7 tiles cut from one stomach biopsy slide · 300×300 px each.
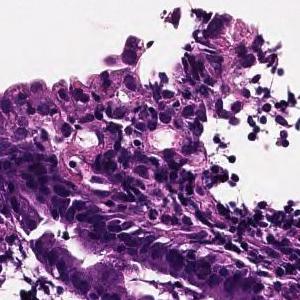
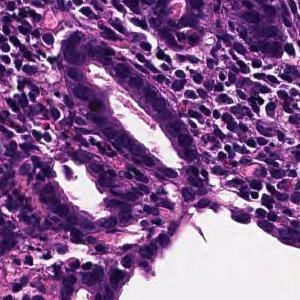
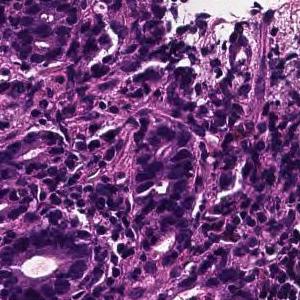
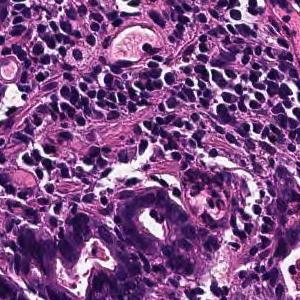
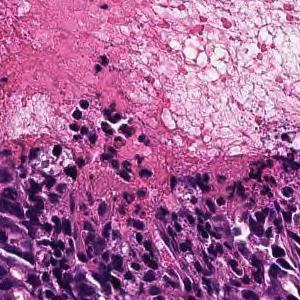
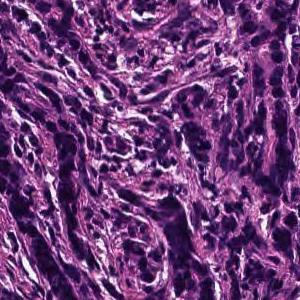
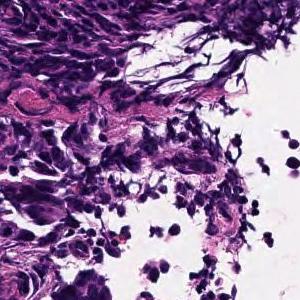
Pathology report for the slide these tiles were cut from. What the report and the diagnosis say applies to the whole slide; these tiles may miss some of the features named and may include tissue that is not tumor.
On the superficial epithelium, tumor tissue is found in which medium-sized irregular gland ducts fuse with each other and infiltrate. moderately differentiated tubular adenocarcinoma or Poorly differentiated adenocarcinoma, non-solid type
Tumor subtype: moderately to poorly differentiated adenocarcinoma.
The term "non-solid type" comes from the Japanese Classification of Gastric Carcinoma.
